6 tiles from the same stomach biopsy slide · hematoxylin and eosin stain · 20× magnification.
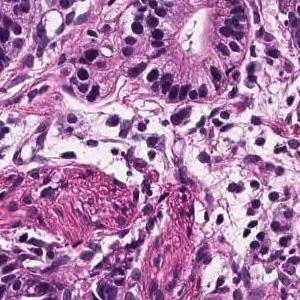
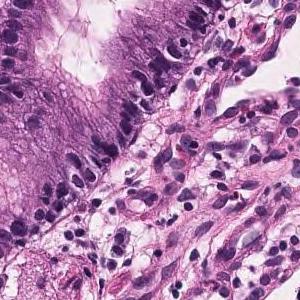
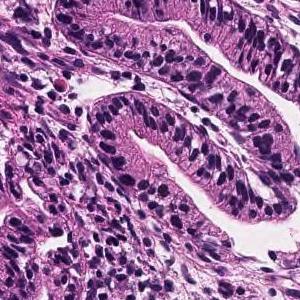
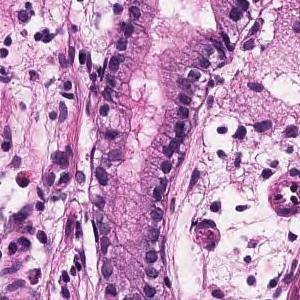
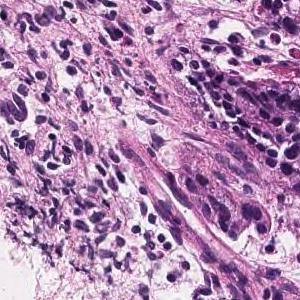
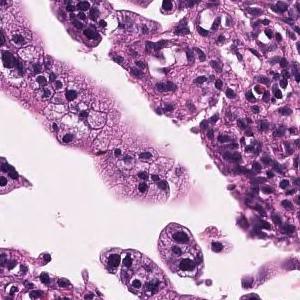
Diagnostic report for the slide these tiles come from. The report describes the whole slide, diagnosis included: not every finding it names need appear in these tiles, which may also show non-tumor tissue.
Tumor tissue consisting of large papillary structures or irregular glandular ducts partially fused and infiltrated is observed in the superficial epithelium. Well to moderately differentiated tubular adenocarcinoma.
Dataset label: moderately differentiated tubular adenocarcinoma.
